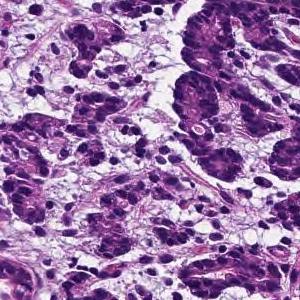
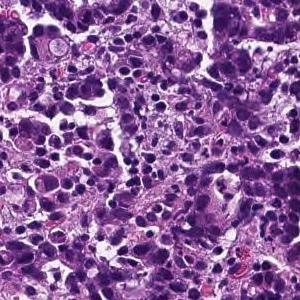
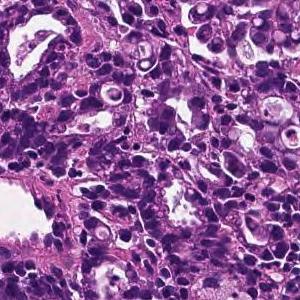
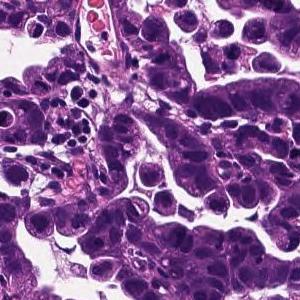
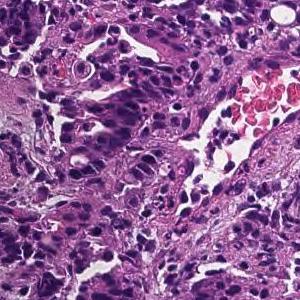
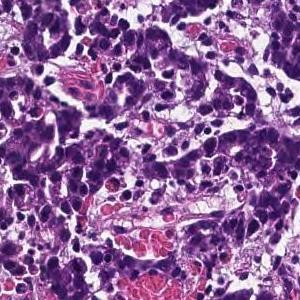
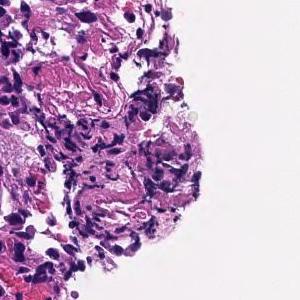
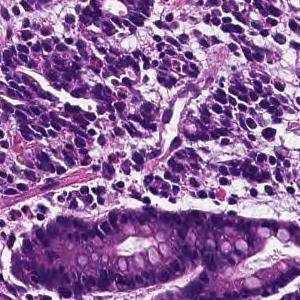
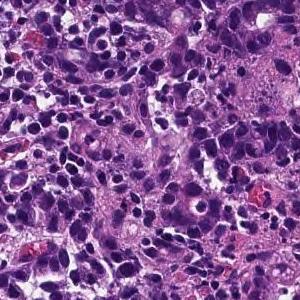
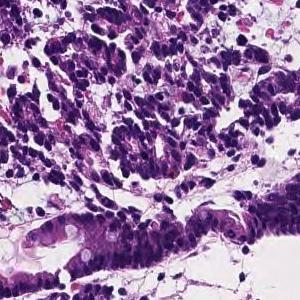
10 image tiles from a single gastric biopsy slide.
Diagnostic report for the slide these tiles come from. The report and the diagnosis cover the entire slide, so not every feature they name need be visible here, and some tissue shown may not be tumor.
In the superficial epithelium, tumor tissue that invades by forming medium-sized to small, irregular ducts is observed. moderately differentiated tubular adenocarcinoma.
